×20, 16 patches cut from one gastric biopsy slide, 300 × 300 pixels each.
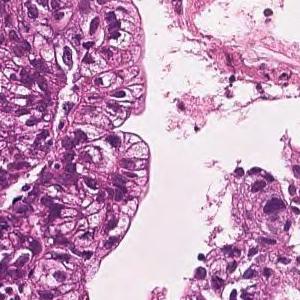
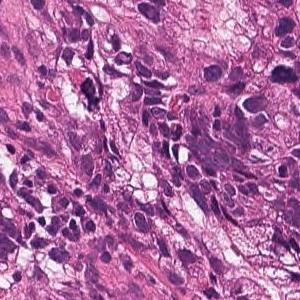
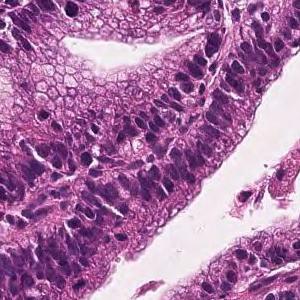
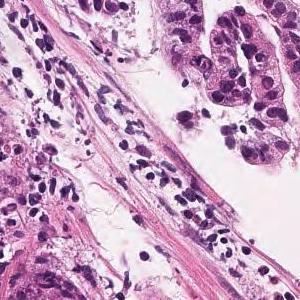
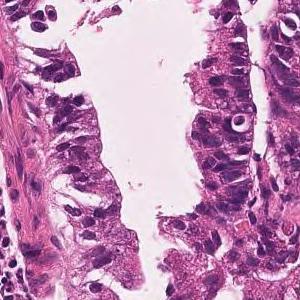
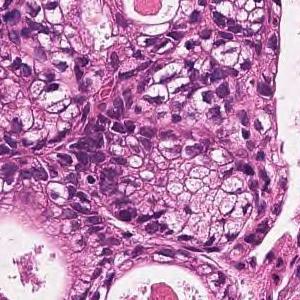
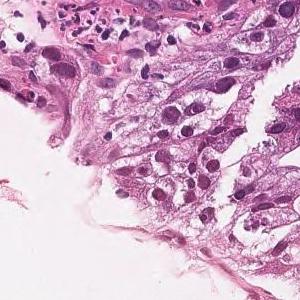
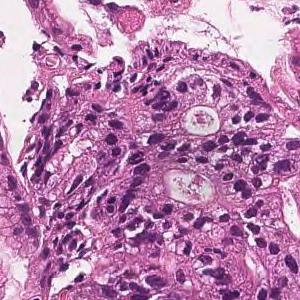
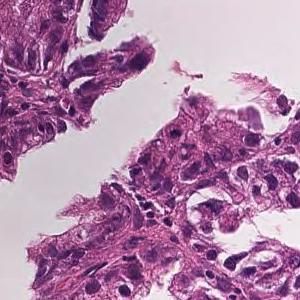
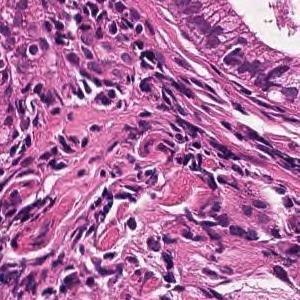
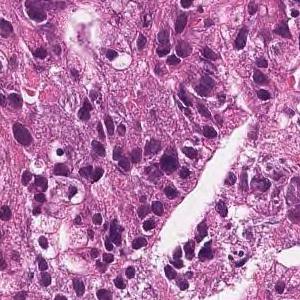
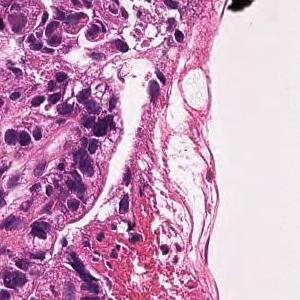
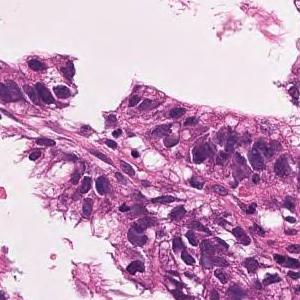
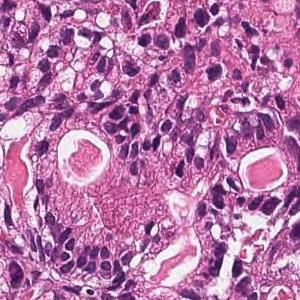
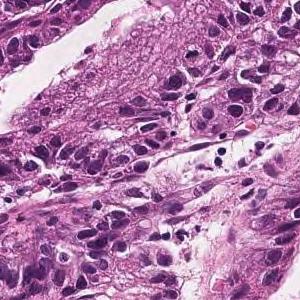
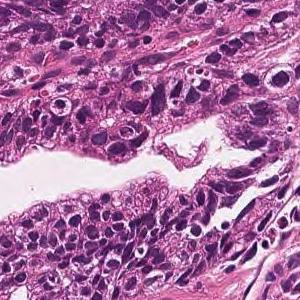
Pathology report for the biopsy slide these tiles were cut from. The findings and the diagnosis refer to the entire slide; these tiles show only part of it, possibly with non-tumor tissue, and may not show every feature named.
On the superficial epithelium, tumor tissue consisting of large, irregular glandular ducts partially fused and infiltrated is observed. Well to moderately differentiated tubular adenocarcinoma (well differentiated tubular adenocarcinoma, moderately differentiated tubular adenocarcinoma)
Histologic type: Well to moderately differentiated tubular adenocarcinoma.
